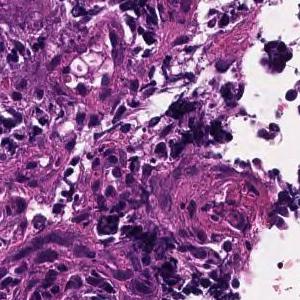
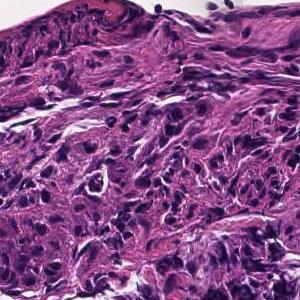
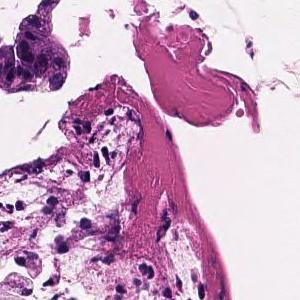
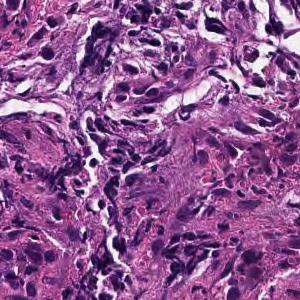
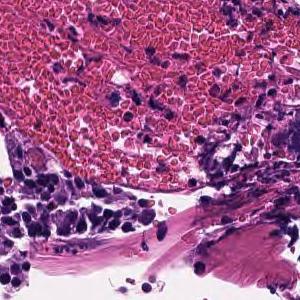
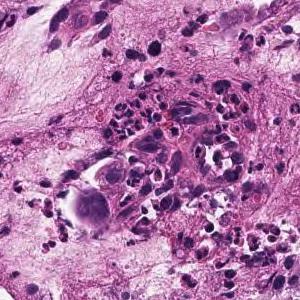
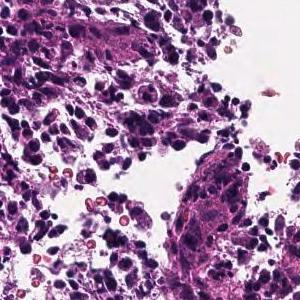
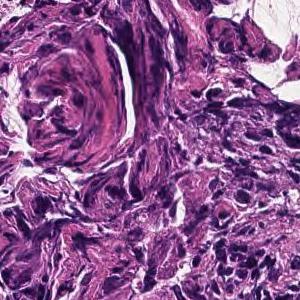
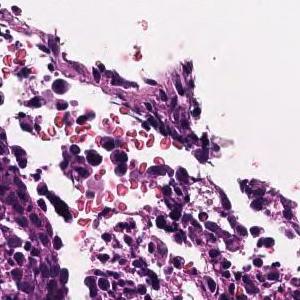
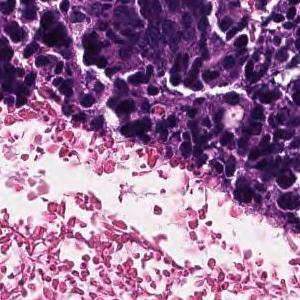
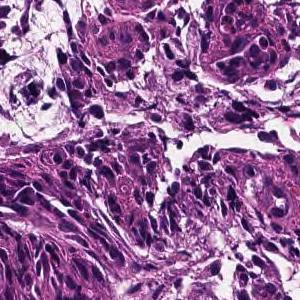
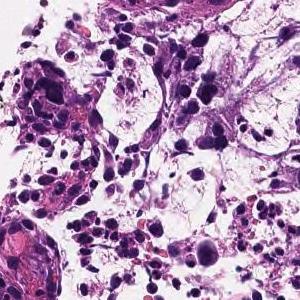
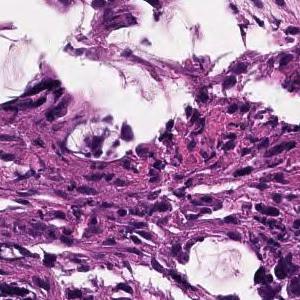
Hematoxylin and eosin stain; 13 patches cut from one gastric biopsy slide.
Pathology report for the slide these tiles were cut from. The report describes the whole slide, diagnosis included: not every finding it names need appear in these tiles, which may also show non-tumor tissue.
The superficial epithelium shows a large sheet-like shape, and some tumor tissue infiltrates with small irregular ducts. Poorly differentiated adenocarcinoma, solid-type
Histological subtype: Poorly differentiated adenocarcinoma, solid type. This name comes from the Japanese Classification of Gastric Carcinoma; the WHO 2019 classification calls it tubular adenocarcinoma, poorly differentiated.
